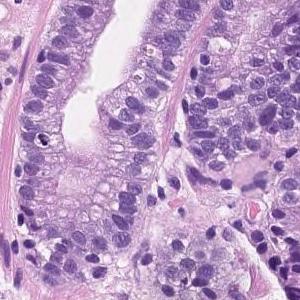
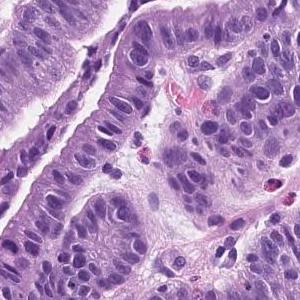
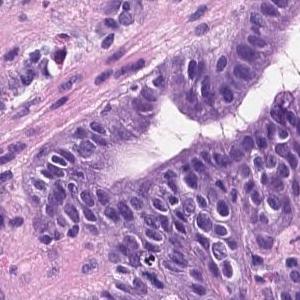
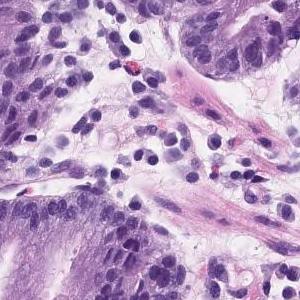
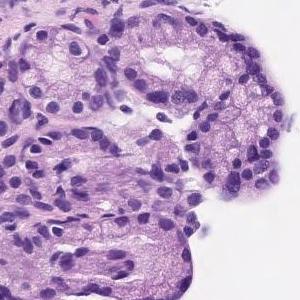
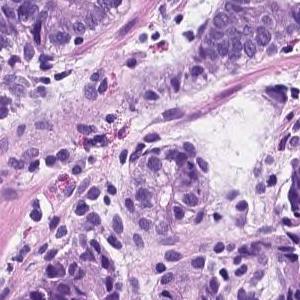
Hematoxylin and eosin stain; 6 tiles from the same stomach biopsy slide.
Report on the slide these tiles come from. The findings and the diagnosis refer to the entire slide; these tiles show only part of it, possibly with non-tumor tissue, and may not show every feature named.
Tumor tissue consisting of medium-sized and irregular ducts is observed infiltrating in the superficial epithelium. Tumor cells are highly columnar, with nuclei aligned basolaterally and polarized. Well differentiated tubular adenocarcinoma.
